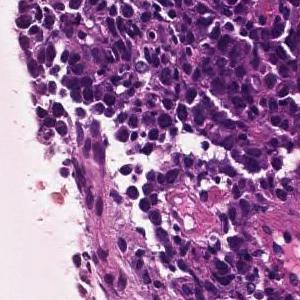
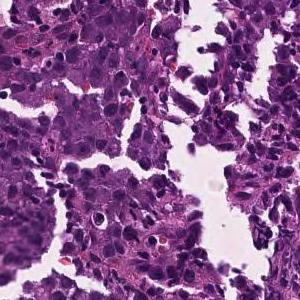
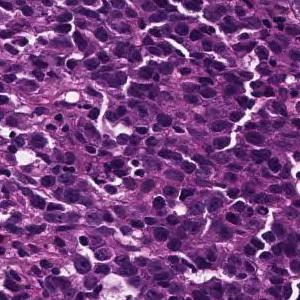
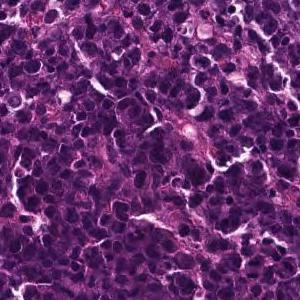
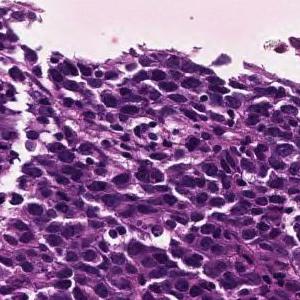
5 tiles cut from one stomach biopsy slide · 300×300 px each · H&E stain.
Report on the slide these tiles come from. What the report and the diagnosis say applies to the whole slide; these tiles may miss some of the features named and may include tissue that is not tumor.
The superficial epithelium shows a large sheet-like shape, and some tumor tissue infiltrates with small irregular ducts. Poorly differentiated adenocarcinoma, solid-type
Classified as poorly differentiated adenocarcinoma, solid type. This name comes from the Japanese Classification of Gastric Carcinoma; the WHO 2019 classification calls it tubular adenocarcinoma, poorly differentiated.
